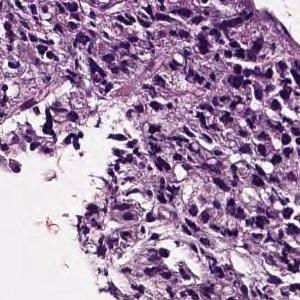
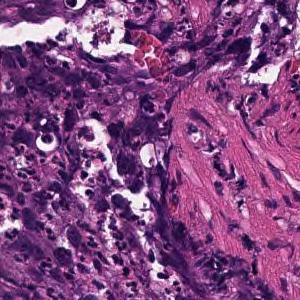
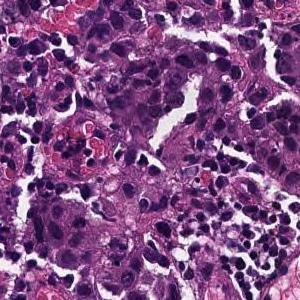
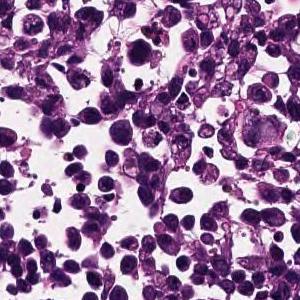
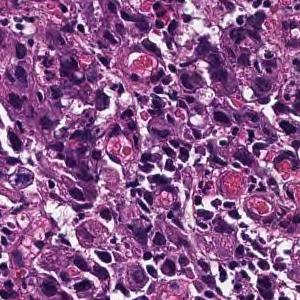
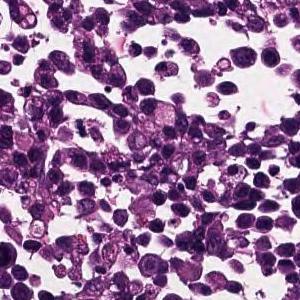
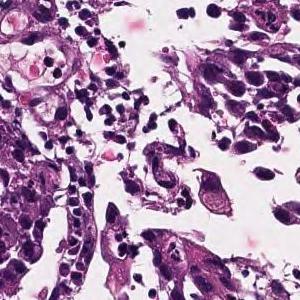
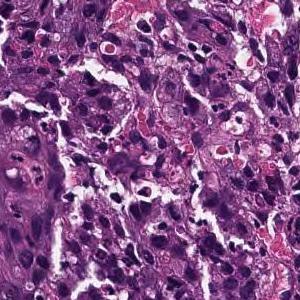
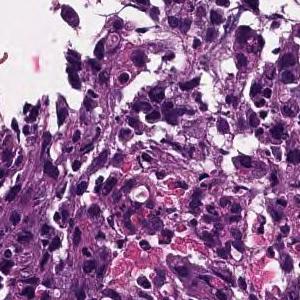
9 image tiles from a single gastric biopsy slide; each 300 × 300 pixels; 20× magnification.
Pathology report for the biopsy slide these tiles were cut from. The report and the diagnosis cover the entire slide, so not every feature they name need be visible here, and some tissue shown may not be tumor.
The superficial epithelium shows a large sheet-like shape, and some tumor tissue infiltrates with small irregular ducts. Poorly differentiated adenocarcinoma, solid-type
Histological subtype: Poorly differentiated adenocarcinoma, solid type, a category of the Japanese Classification of Gastric Carcinoma; in the WHO 2019 classification it is tubular adenocarcinoma, poorly differentiated.
